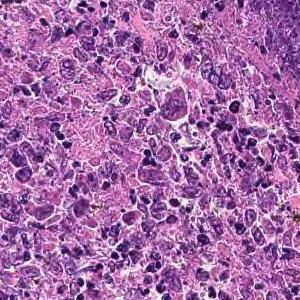
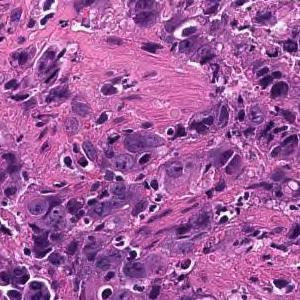
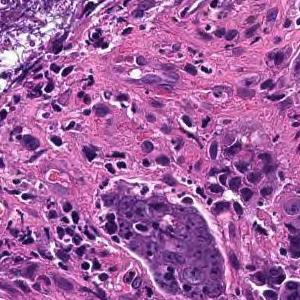
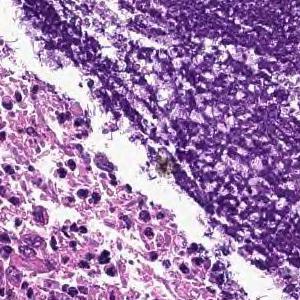
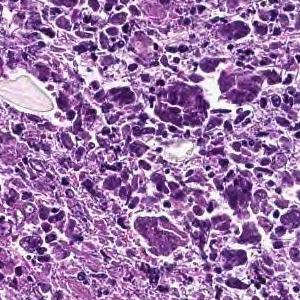
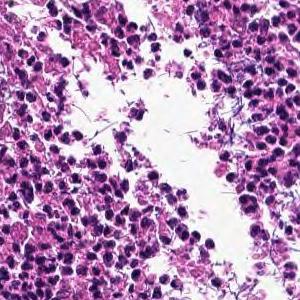
6 image tiles from a single gastric biopsy slide; each 300 × 300 pixels; H&E.
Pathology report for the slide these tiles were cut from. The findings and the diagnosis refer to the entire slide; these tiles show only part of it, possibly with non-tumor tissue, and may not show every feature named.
Cancers with polygonal nuclei do not show glandular formation and are densely, in part, cord-like and proliferate. Poorly differentiated adenocarcinoma
Histological subtype: Poorly differentiated adenocarcinoma, non-solid type.
The term "non-solid type" comes from the Japanese Classification of Gastric Carcinoma.
